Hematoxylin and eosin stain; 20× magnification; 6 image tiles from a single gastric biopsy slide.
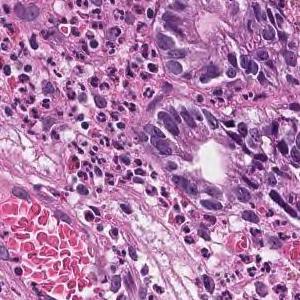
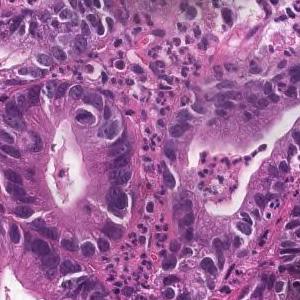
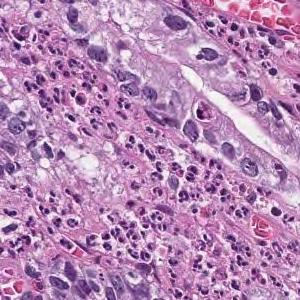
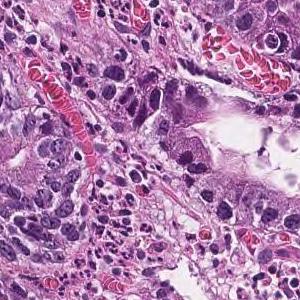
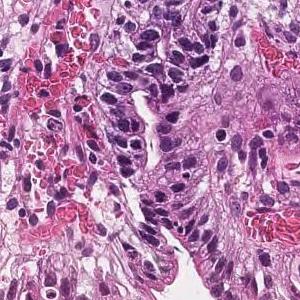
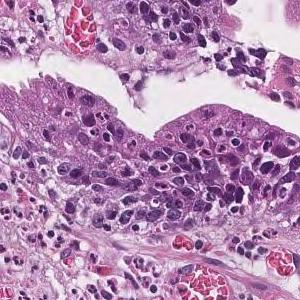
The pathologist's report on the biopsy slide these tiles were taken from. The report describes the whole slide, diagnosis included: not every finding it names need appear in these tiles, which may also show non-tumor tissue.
Tumor cells are large, highly columnar, large club-shaped nuclei, and are associated with chromatin aggregation. Papillary adenocarcinoma.
